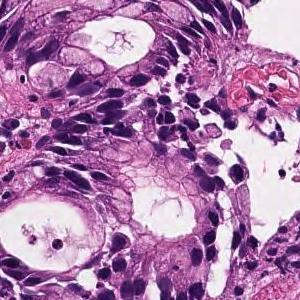
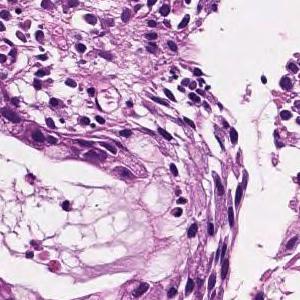
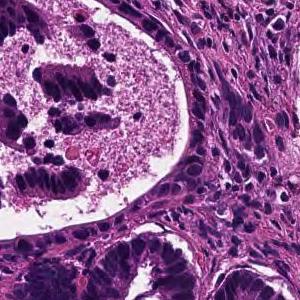
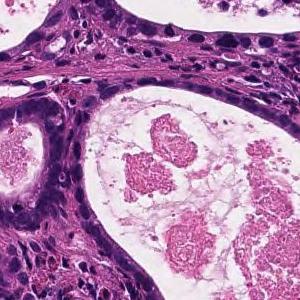
4 tiles cut from one stomach biopsy slide.
Diagnostic report for the slide these tiles come from. The report and the diagnosis cover the entire slide, so not every feature they name need be visible here, and some tissue shown may not be tumor.
On the superficial epithelium, tumor tissue consisting of medium-sized and irregular glandular ducts partially fused and infiltrated is observed. Well to moderately differentiated tubular adenocarcinoma (well differentiated tubular adenocarcinoma-moderately differentiated tubular adenocarcinoma)
Histologic type: Well to moderately differentiated tubular adenocarcinoma.
